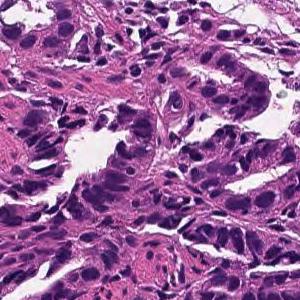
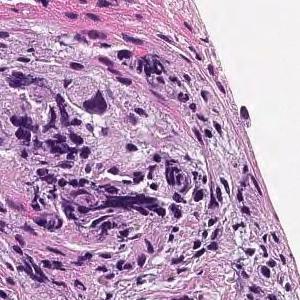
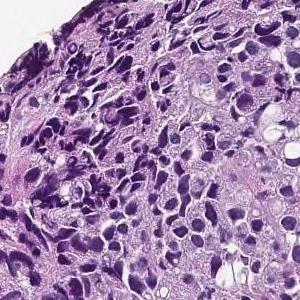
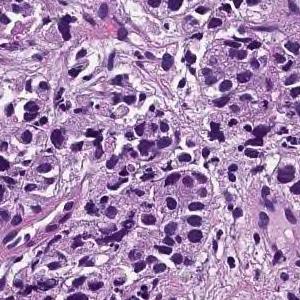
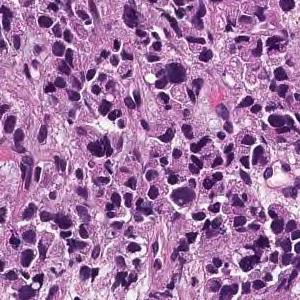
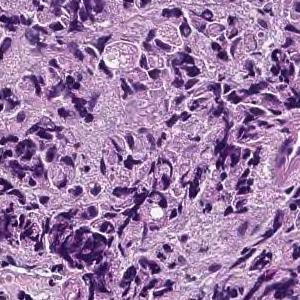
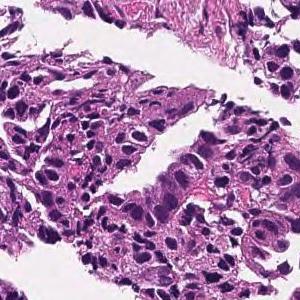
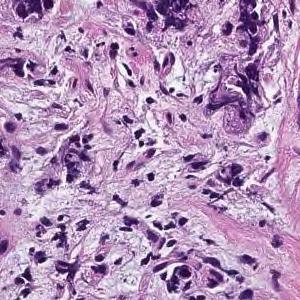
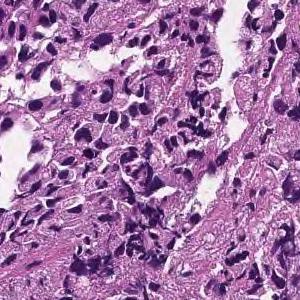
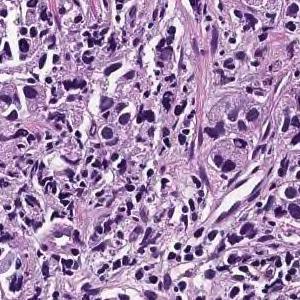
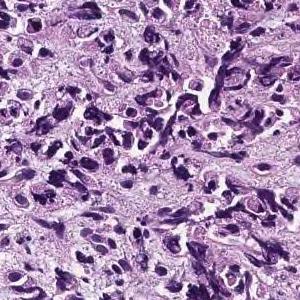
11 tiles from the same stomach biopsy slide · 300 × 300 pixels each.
Diagnostic report for the slide these tiles come from. The findings and the diagnosis refer to the entire slide; these tiles show only part of it, possibly with non-tumor tissue, and may not show every feature named.
The lamina propria shows small cord-like tumor tissue that infiltrates with fibrosis and marked chronic inflammatory cell infiltration. Poorly differentiated adenocarcinoma, non-solid type
The non-solid type named here is a Japanese Classification of Gastric Carcinoma category.
